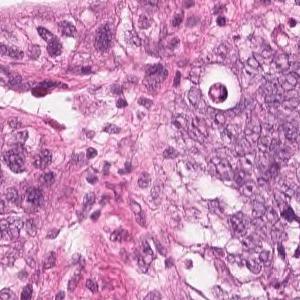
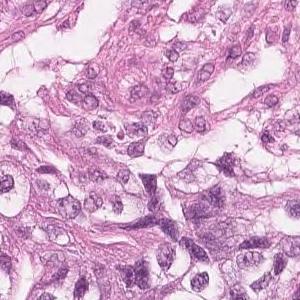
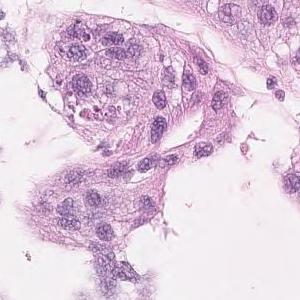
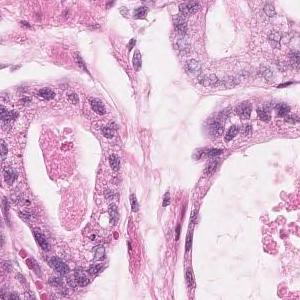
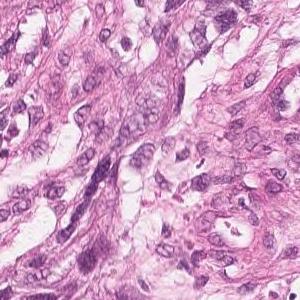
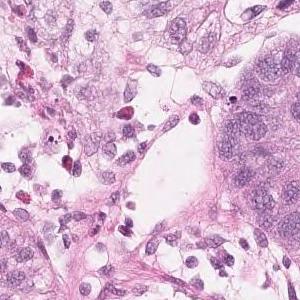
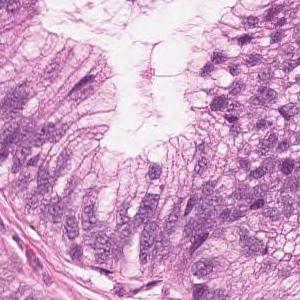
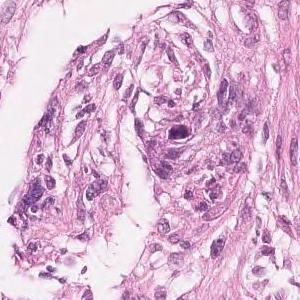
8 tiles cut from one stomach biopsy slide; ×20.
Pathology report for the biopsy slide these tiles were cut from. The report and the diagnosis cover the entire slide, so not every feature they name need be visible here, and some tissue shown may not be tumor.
Highly columnar epithelium with disordered nuclear localization proliferates showing fusion ductal construction. moderately differentiated tubular adenocarcinoma
